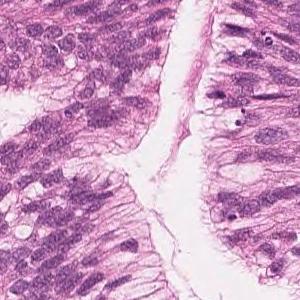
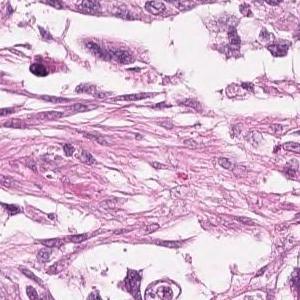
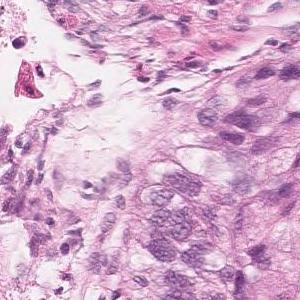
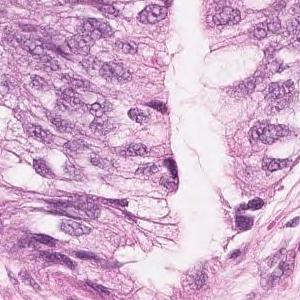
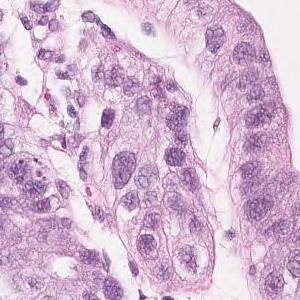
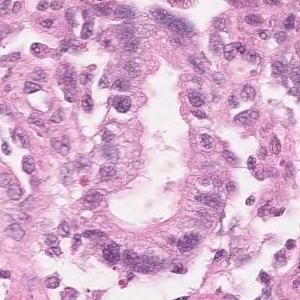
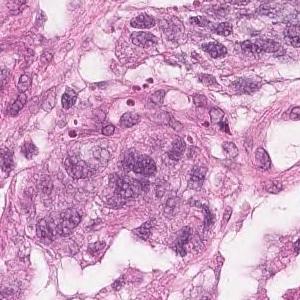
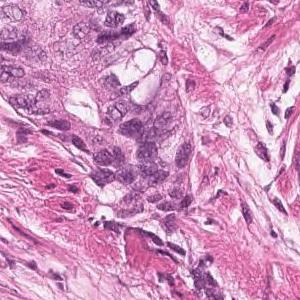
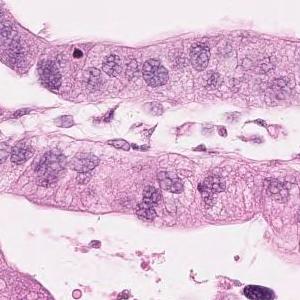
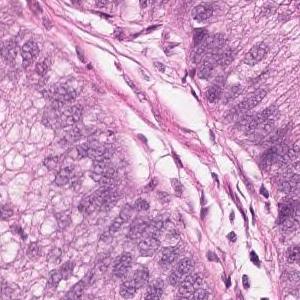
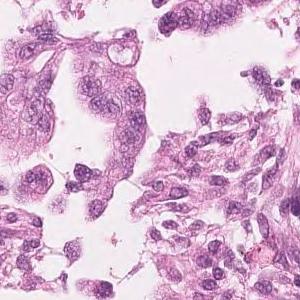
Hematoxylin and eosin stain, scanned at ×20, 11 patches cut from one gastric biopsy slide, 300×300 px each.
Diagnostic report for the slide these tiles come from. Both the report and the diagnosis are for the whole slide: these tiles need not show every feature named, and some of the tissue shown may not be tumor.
Highly columnar epithelium with disordered nuclear localization proliferates showing fusion ductal construction. moderately differentiated tubular adenocarcinoma
